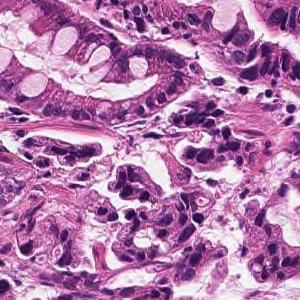
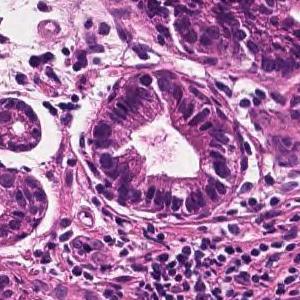
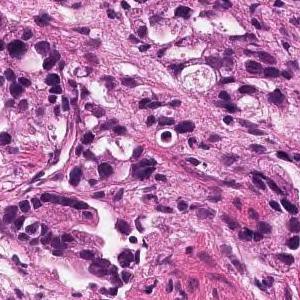
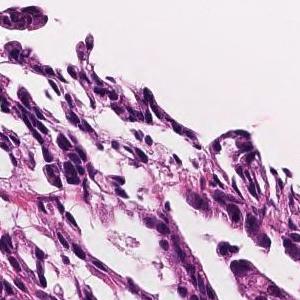
4 patches cut from one gastric biopsy slide; each 300 × 300 pixels; hematoxylin and eosin stain.
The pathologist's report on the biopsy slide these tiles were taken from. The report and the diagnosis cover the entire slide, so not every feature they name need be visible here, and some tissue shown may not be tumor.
In the superficial epithelium, tumor tissue that invades by forming medium-sized to small, irregular ducts is observed. moderately differentiated tubular adenocarcinoma.
